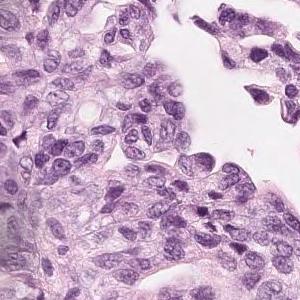
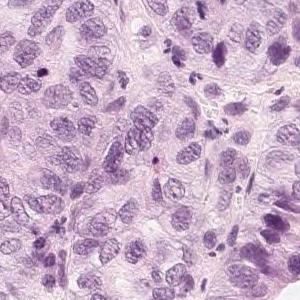
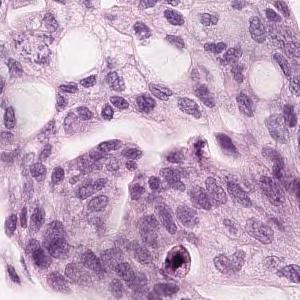
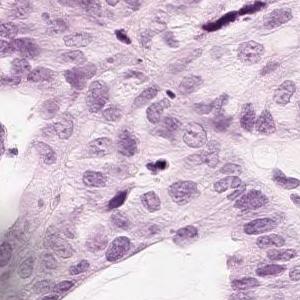
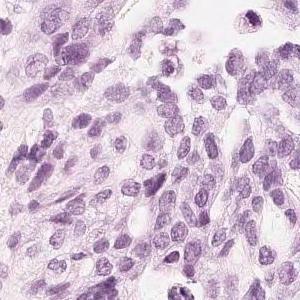
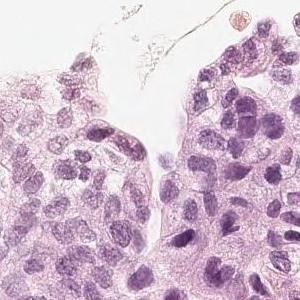
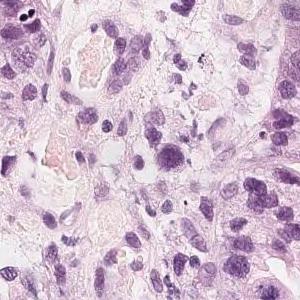
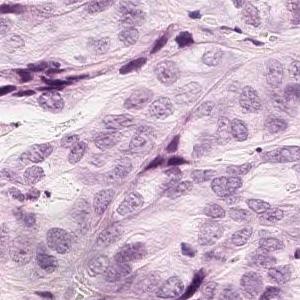
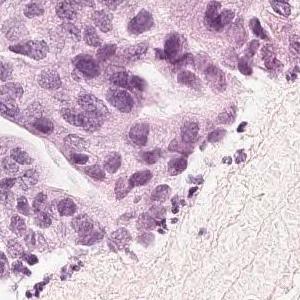
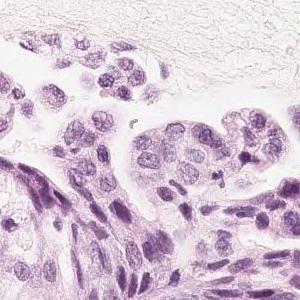
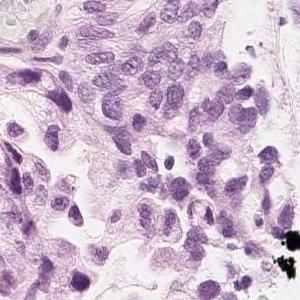
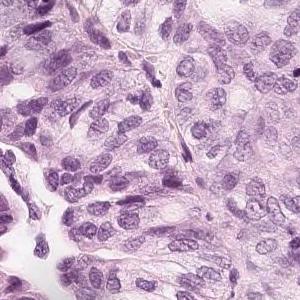
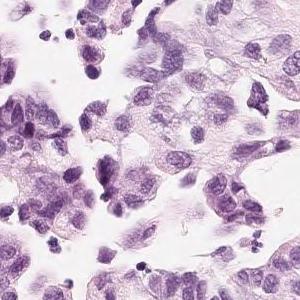
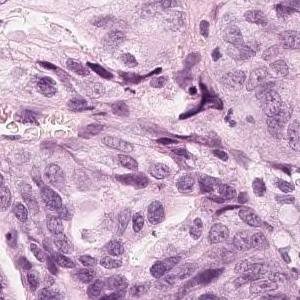
Hematoxylin and eosin stain · 14 tiles from the same stomach biopsy slide · each 300 × 300 pixels.
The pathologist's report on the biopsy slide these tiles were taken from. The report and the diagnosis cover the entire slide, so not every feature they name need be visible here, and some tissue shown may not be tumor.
Tumor tissue in which medium-sized atypical epithelial cells with a large N/C ratio grow densely while becoming alveolar to cord-like with duct formation is observed. moderately differentiated tubular adenocarcinoma
